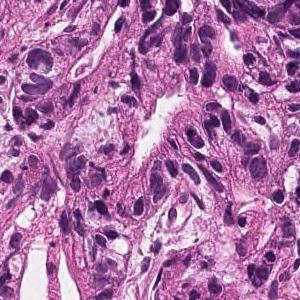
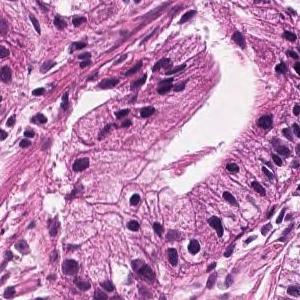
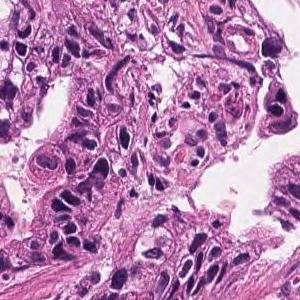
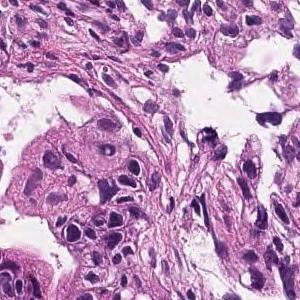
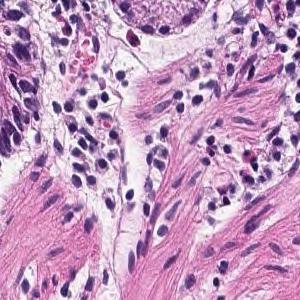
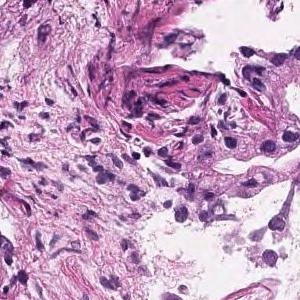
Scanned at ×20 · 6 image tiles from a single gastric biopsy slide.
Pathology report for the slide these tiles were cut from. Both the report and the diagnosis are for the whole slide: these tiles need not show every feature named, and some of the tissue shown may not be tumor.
From the superficial epithelium to the muscularis mucosae, tumor tissue infiltrating by forming medium-sized irregular gland ducts is observed. Large tumor cells exhibit large nucleus and hyperchromatism. Well differentiated tubular adenocarcinoma
